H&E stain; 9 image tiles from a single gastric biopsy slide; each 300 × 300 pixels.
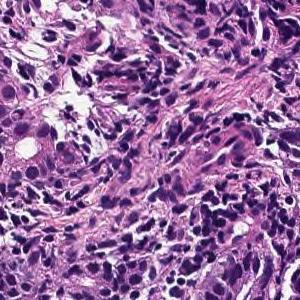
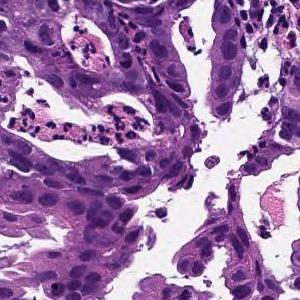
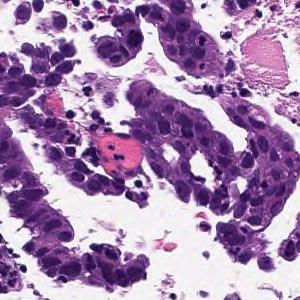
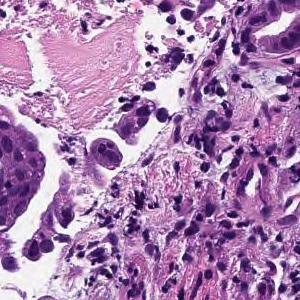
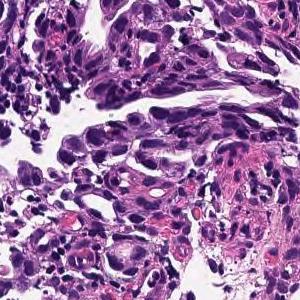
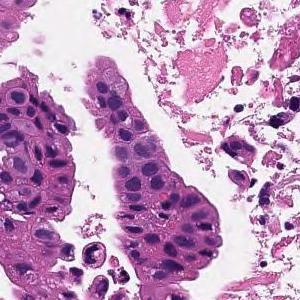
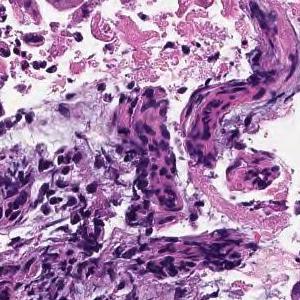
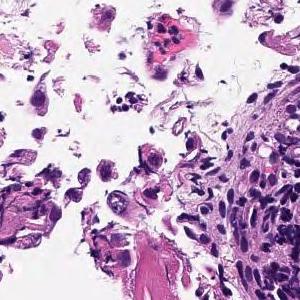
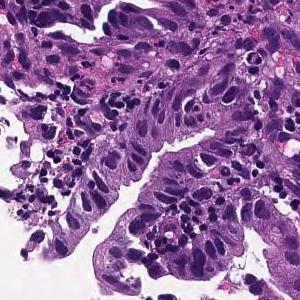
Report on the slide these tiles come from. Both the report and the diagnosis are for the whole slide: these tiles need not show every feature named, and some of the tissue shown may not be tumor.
In the superficial epithelium, tumor tissue that invades by forming medium-sized to small, irregular ducts is observed. moderately differentiated tubular adenocarcinoma.
